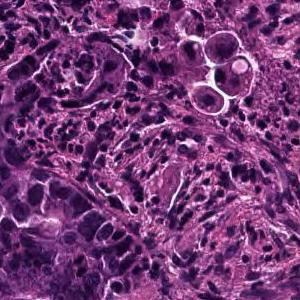
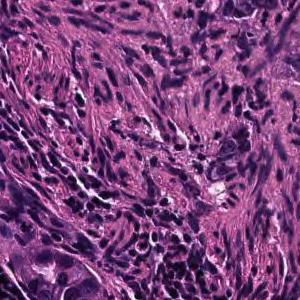
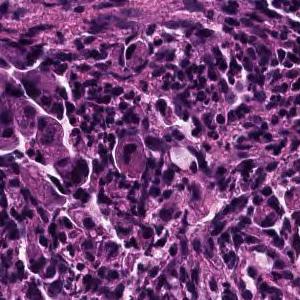
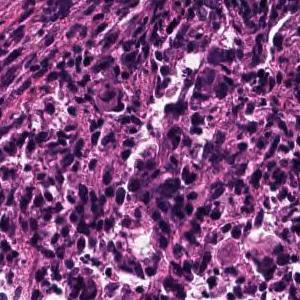
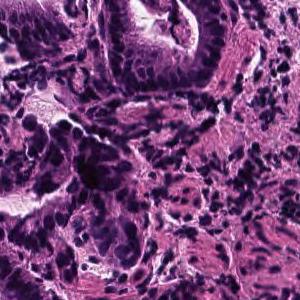
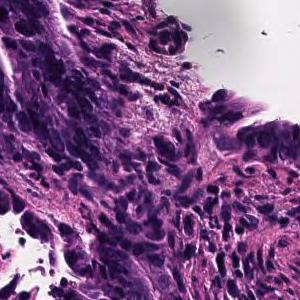
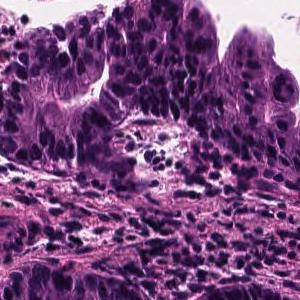
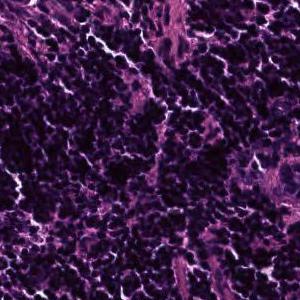
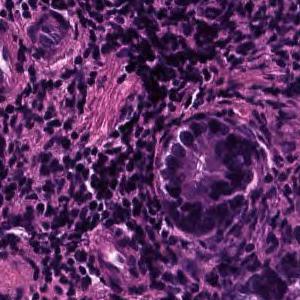
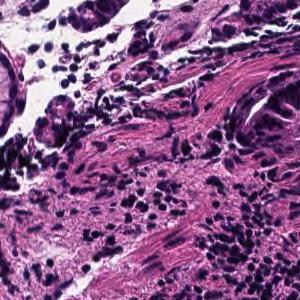
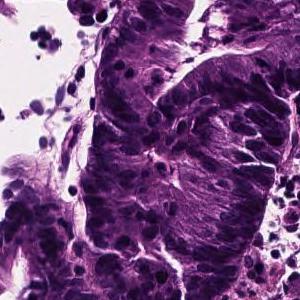
×20, 11 tiles cut from one stomach biopsy slide, each 300 × 300 pixels.
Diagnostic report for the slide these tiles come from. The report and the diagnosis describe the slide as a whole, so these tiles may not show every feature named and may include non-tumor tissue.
On the superficial epithelium, tumor tissue consisting of large, irregular glandular ducts partially fused and infiltrated is observed. Well to moderately differentiated tubular adenocarcinoma (well differentiated tubular adenocarcinoma, moderately differentiated tubular adenocarcinoma)
Tumor subtype: well to moderately differentiated tubular adenocarcinoma.
